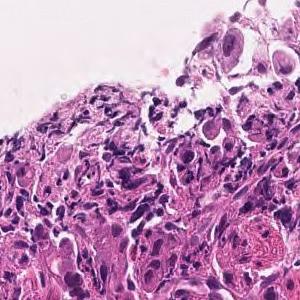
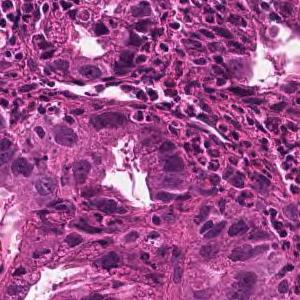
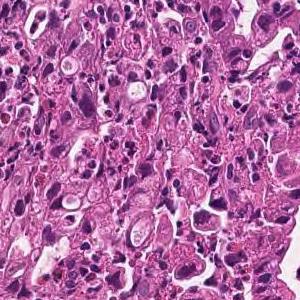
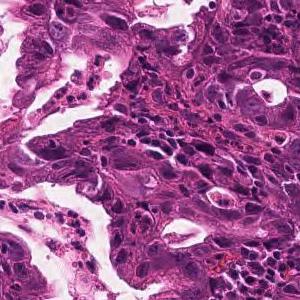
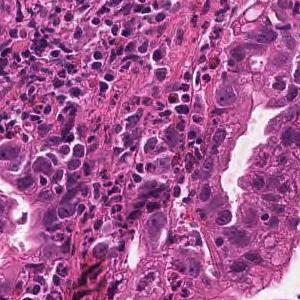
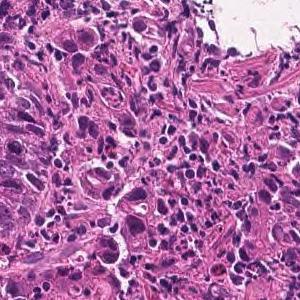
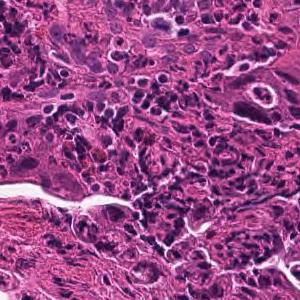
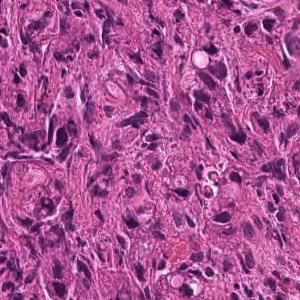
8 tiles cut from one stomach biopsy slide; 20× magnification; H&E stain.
Diagnostic report for the slide these tiles come from. The report describes the whole slide, diagnosis included: not every finding it names need appear in these tiles, which may also show non-tumor tissue.
Medium to small, irregular glandular ducts are formed in the superficial epithelium, and in some cases, the glandular ducts are fused to show solid alveolar lesions and infiltrating tumor tissue is observed. Moderately to poorly differentiated adenocarcinoma.
